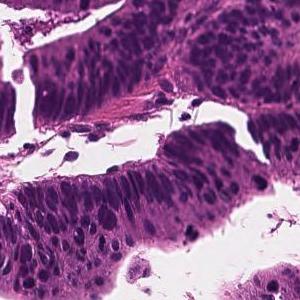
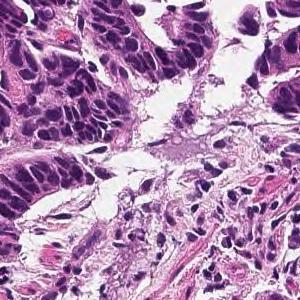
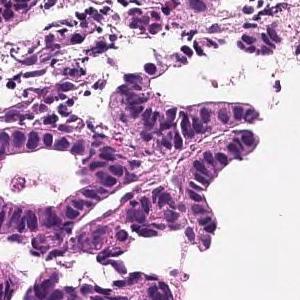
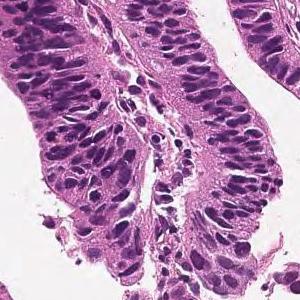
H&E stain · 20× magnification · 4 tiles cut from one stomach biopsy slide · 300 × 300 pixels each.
Pathology report for the biopsy slide these tiles were cut from. The findings and the diagnosis refer to the entire slide; these tiles show only part of it, possibly with non-tumor tissue, and may not show every feature named.
From the superficial epithelium to the muscularis mucosae, tumor tissue consisting of medium-sized and irregular glandular ducts infiltrating is observed. Well differentiated tubular adenocarcinoma
